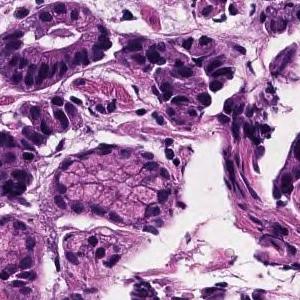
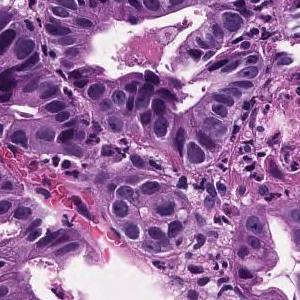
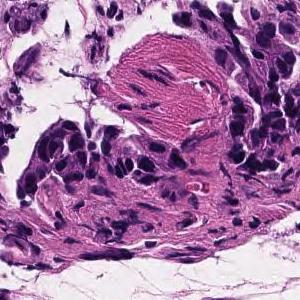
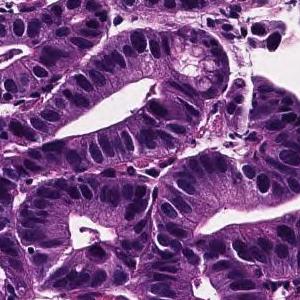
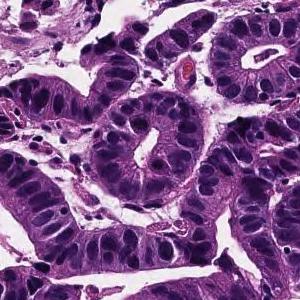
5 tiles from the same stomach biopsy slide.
Report on the slide these tiles come from. The findings and the diagnosis refer to the entire slide; these tiles show only part of it, possibly with non-tumor tissue, and may not show every feature named.
In the superficial epithelium, tumor tissue that invades by forming medium-sized to small, irregular ducts is observed. Well differentiated tubular adenocarcinoma.
